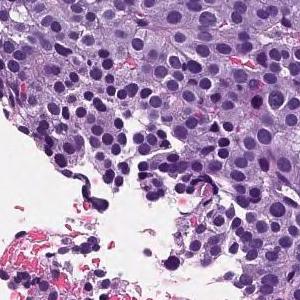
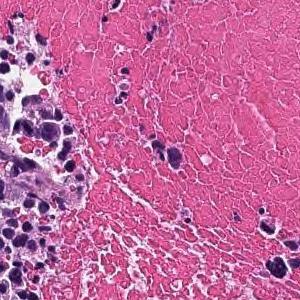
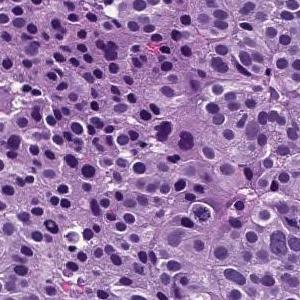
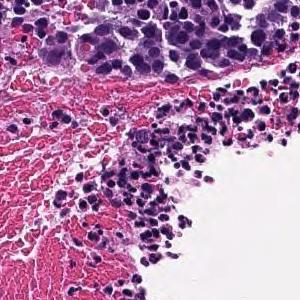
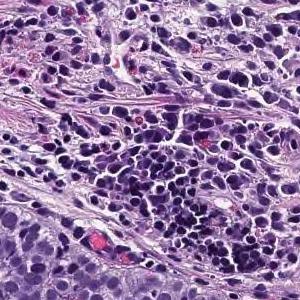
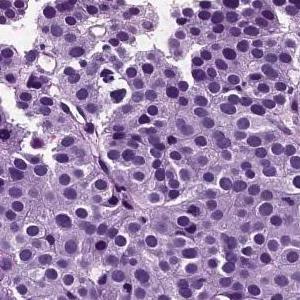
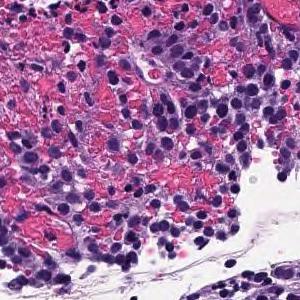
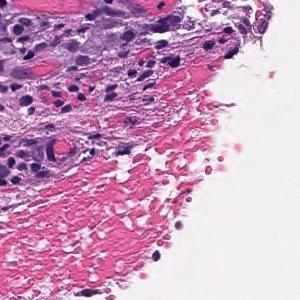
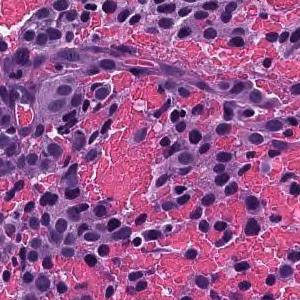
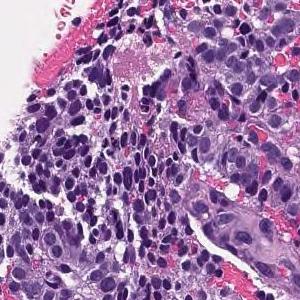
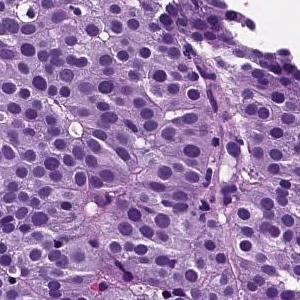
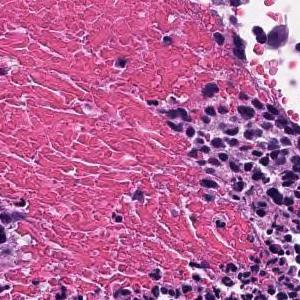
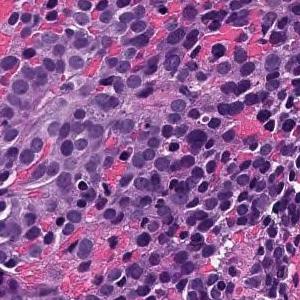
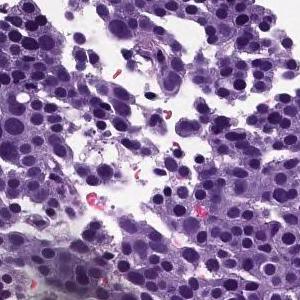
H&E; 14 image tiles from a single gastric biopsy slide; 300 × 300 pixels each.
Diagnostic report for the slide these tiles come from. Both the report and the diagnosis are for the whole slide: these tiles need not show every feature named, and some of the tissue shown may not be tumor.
The superficial epithelium shows a large sheet-like shape, and some tumor tissue infiltrates with small irregular ducts. Poorly differentiated adenocarcinoma, solid-type
Classified as poorly differentiated adenocarcinoma, solid type, a category of the Japanese Classification of Gastric Carcinoma; in the WHO 2019 classification it is tubular adenocarcinoma, poorly differentiated.
